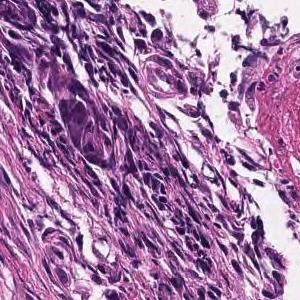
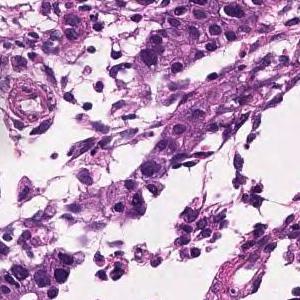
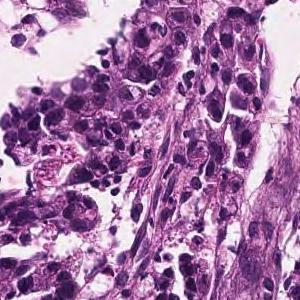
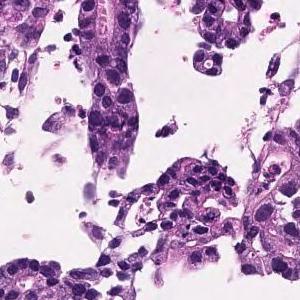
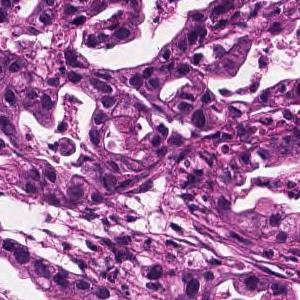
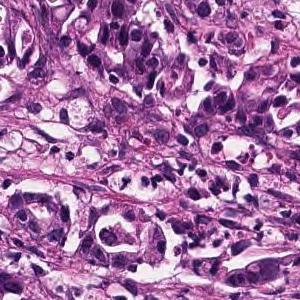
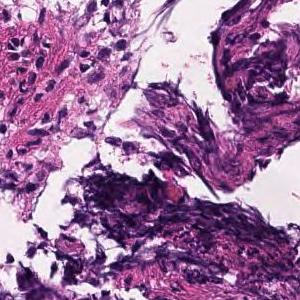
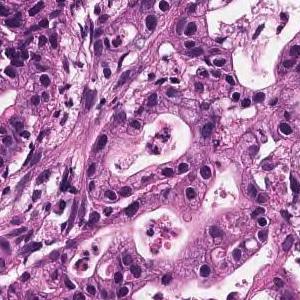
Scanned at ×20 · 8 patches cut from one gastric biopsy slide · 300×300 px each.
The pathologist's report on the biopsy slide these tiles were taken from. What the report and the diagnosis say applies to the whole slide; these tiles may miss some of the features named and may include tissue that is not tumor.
In the superficial epithelium, medium to small, irregular gland ducts are formed, and in some cases, the gland ducts are fused to show solid alveolar lesions and infiltrating tumor tissue is observed. Moderately to poorly differentiated adenocarcinoma.
